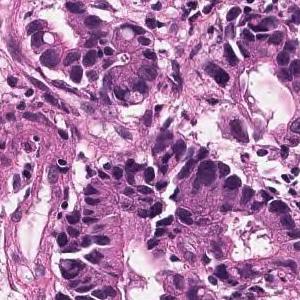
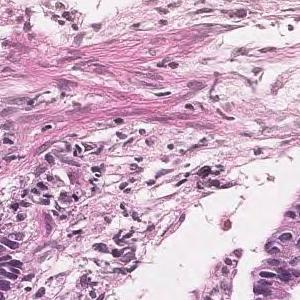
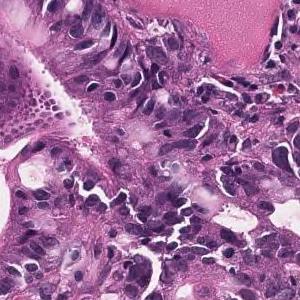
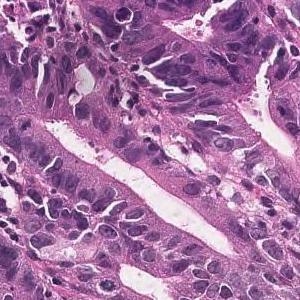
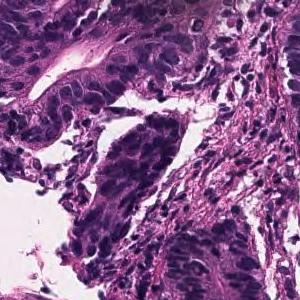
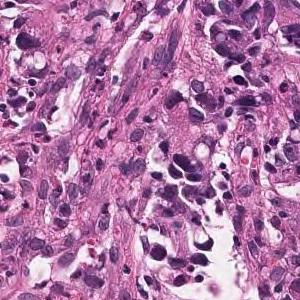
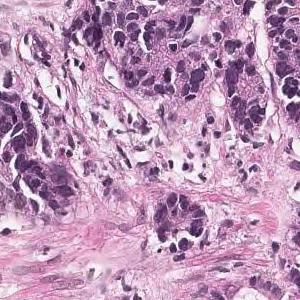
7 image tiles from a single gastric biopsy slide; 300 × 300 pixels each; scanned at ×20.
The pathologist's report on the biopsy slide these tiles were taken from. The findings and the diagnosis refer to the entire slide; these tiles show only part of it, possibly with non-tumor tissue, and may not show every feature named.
In the superficial epithelium, tumor tissue is found in which medium-sized irregular gland ducts fuse with each other and infiltrate. moderately differentiated tubular adenocarcinoma
